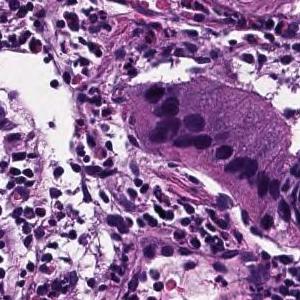
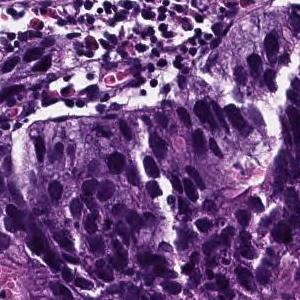
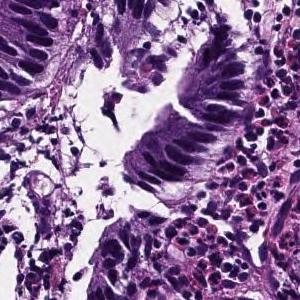
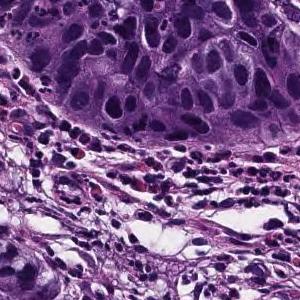
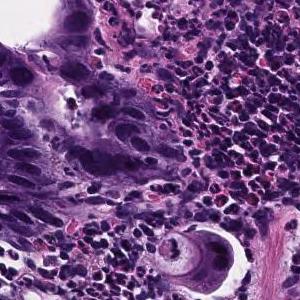
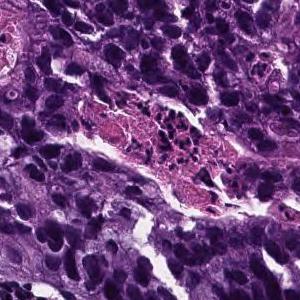
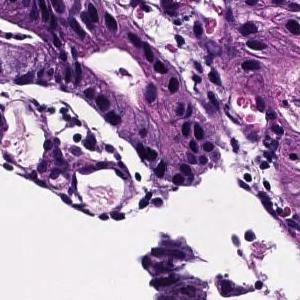
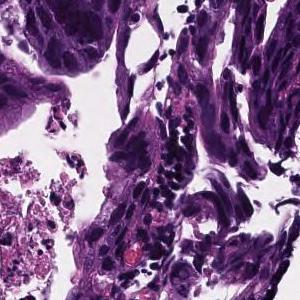
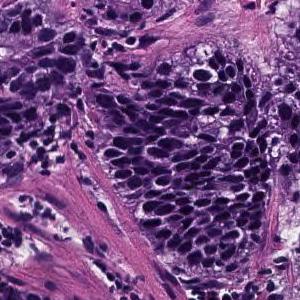
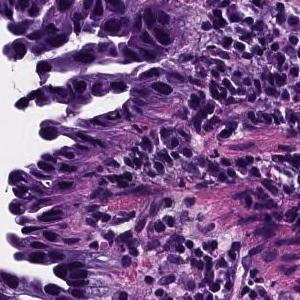
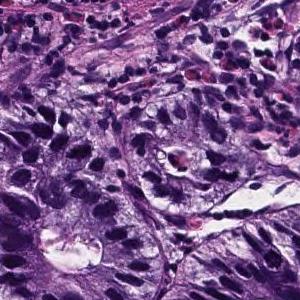
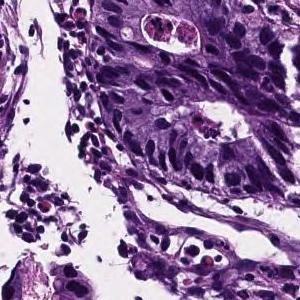
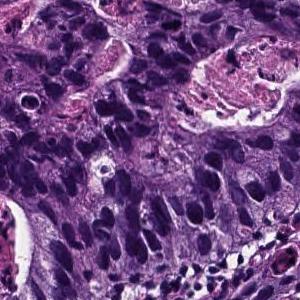
Scanned at ×20, H&E, 13 patches cut from one gastric biopsy slide, each 300 × 300 pixels.
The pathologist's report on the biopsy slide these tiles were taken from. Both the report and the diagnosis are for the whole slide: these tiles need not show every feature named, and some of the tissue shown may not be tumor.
In the superficial epithelium, tumor tissue that invades by forming medium-sized to small, irregular ducts is observed. Moderately differentiated adenocarcinoma.
Subtype: Moderately differentiated tubular adenocarcinoma.
